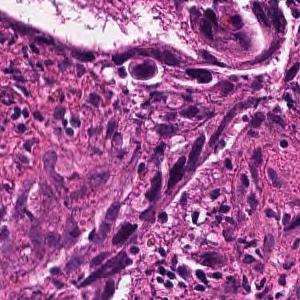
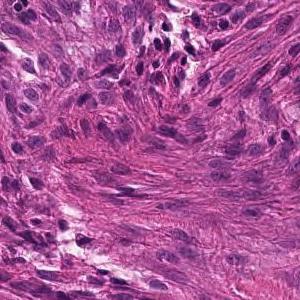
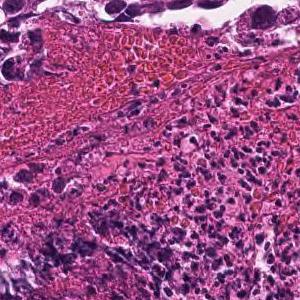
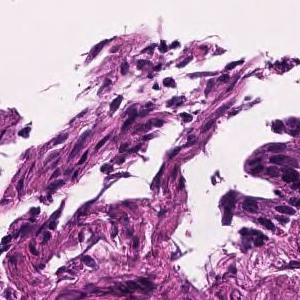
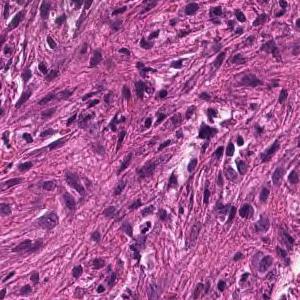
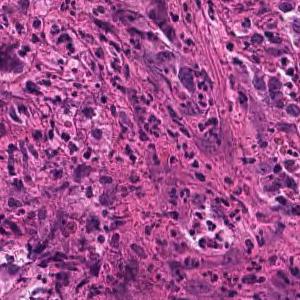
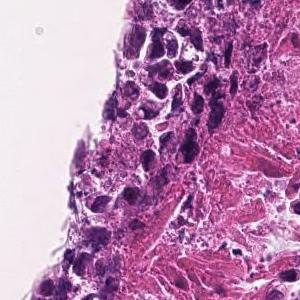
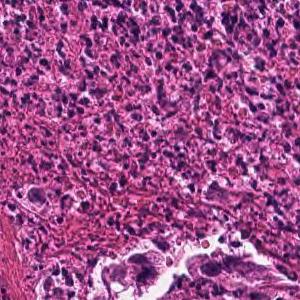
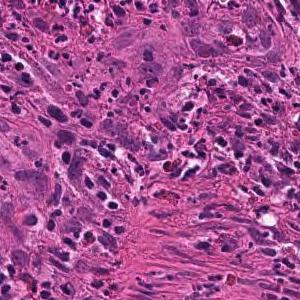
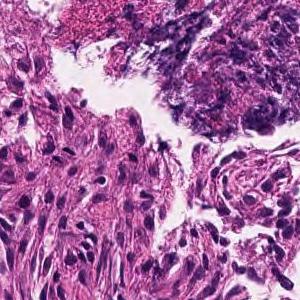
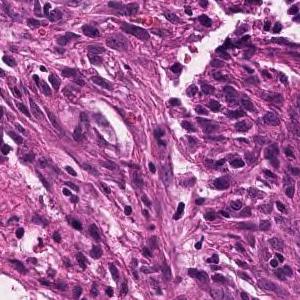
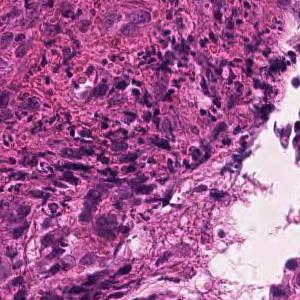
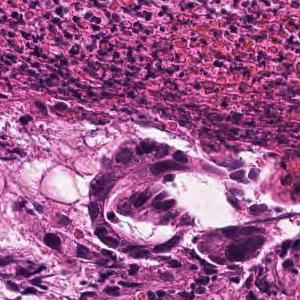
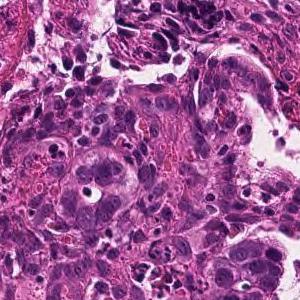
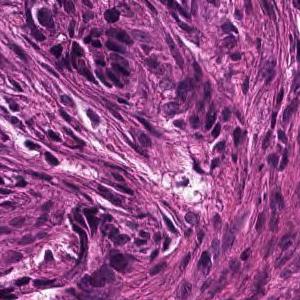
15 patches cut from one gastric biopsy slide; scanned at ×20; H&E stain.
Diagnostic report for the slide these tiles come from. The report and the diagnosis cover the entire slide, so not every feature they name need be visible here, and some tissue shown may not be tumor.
In the superficial epithelium, tumor tissue that invades by forming medium-sized to small, irregular ducts is observed. moderately differentiated tubular adenocarcinoma.
